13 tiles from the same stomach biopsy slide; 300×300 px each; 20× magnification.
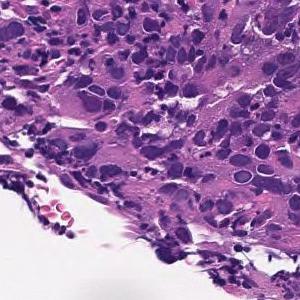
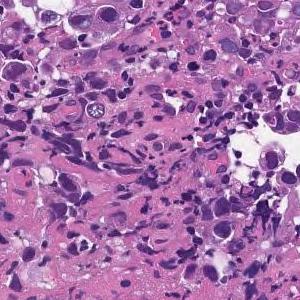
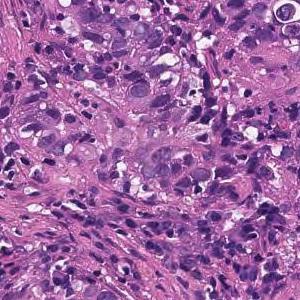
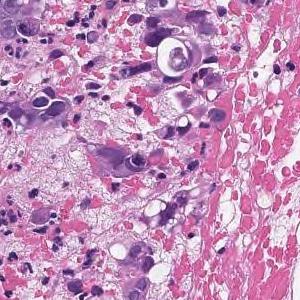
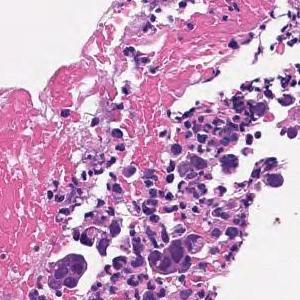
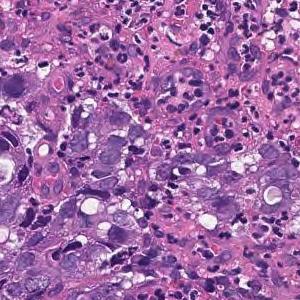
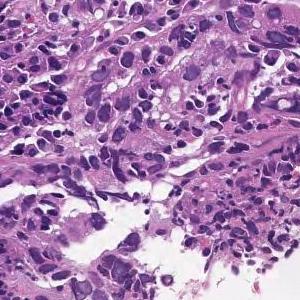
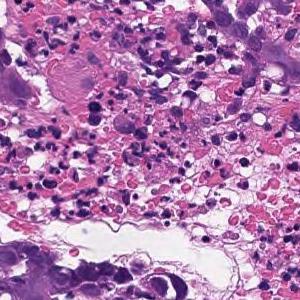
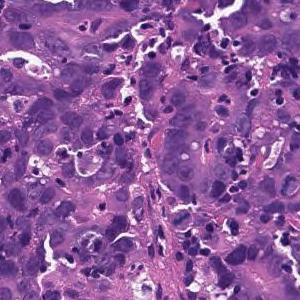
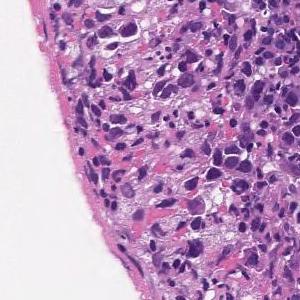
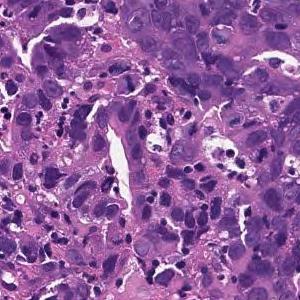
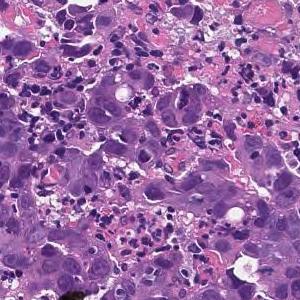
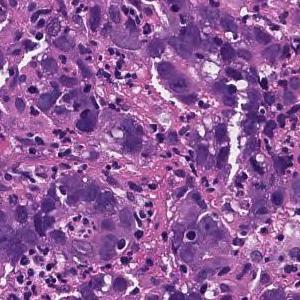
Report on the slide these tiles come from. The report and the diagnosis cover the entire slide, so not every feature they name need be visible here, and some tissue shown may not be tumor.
Tumor tissue consisting of cord-like or small, irregular glandular ducts fused and infiltrated is observed in the superficial epithelium. Poorly differentiated adenocarcinoma, non-solid type
The term "non-solid type" comes from the Japanese Classification of Gastric Carcinoma.
